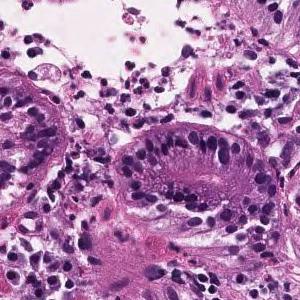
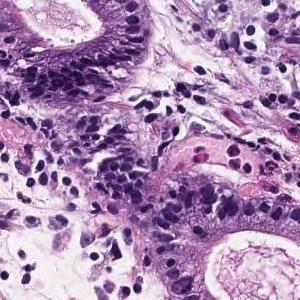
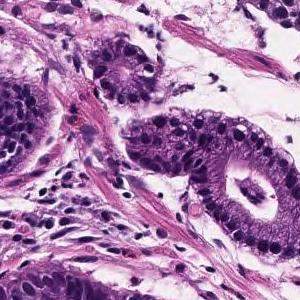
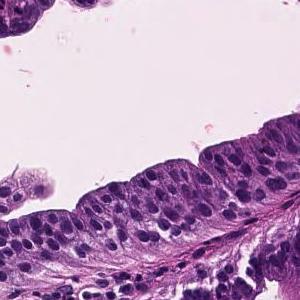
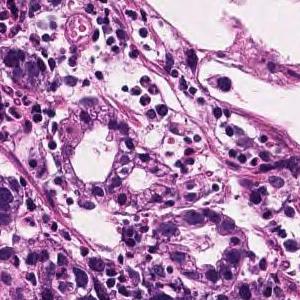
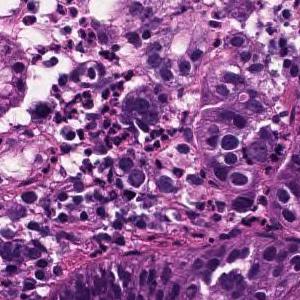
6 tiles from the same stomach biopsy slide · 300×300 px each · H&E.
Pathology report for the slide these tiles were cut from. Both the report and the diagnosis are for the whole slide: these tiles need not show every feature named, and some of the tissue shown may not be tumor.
In the superficial epithelium, tumor tissue that invades by forming medium-sized to small, irregular ducts is observed. moderately differentiated tubular adenocarcinoma.
